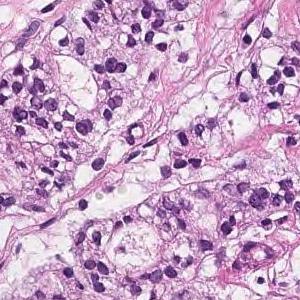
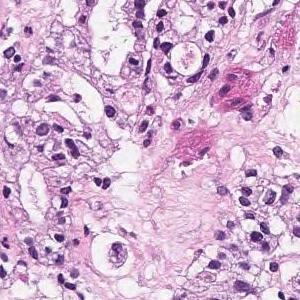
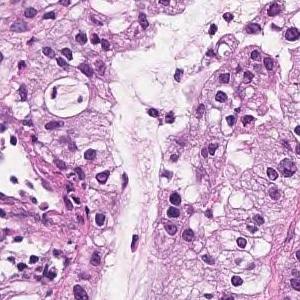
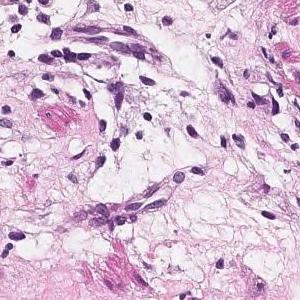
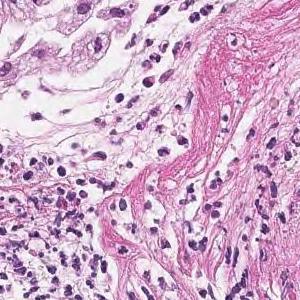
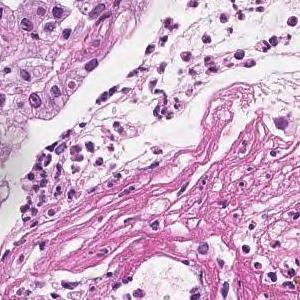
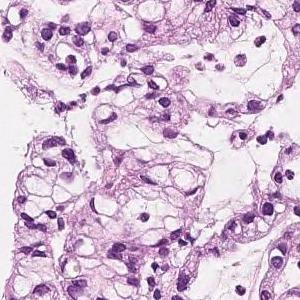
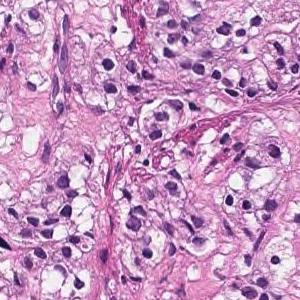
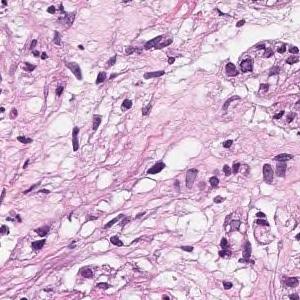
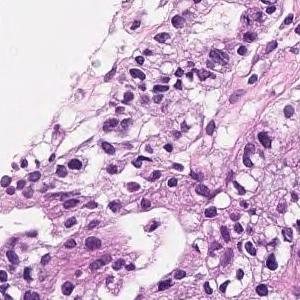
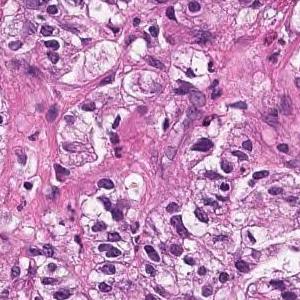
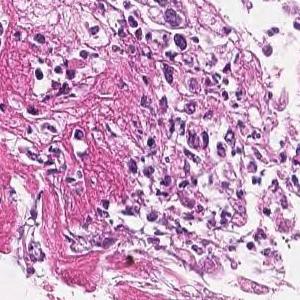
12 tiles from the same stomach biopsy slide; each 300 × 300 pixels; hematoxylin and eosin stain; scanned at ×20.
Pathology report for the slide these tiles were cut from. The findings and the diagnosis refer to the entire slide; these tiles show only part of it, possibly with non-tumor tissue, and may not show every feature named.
In the superficial epithelium, tumor tissue that invades by forming medium-sized to small, irregular ducts is observed. moderately differentiated tubular adenocarcinoma.
